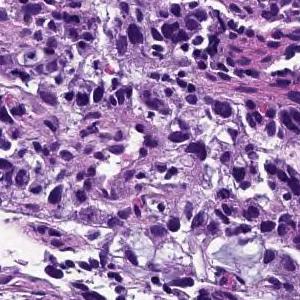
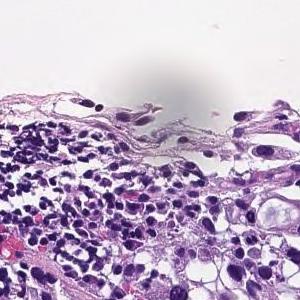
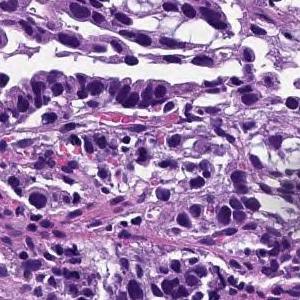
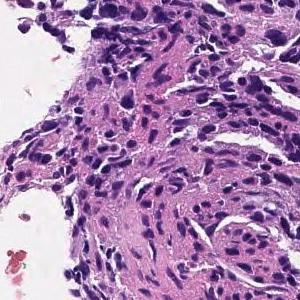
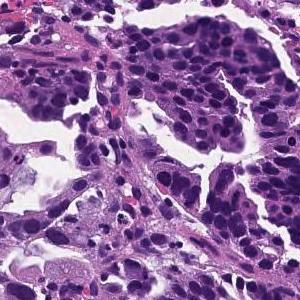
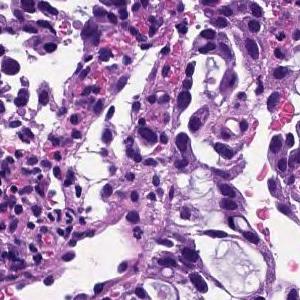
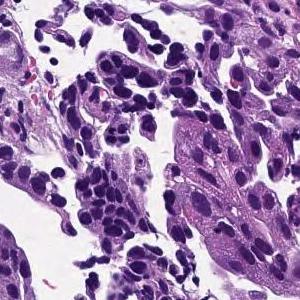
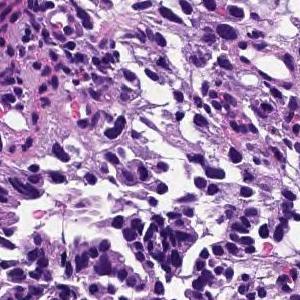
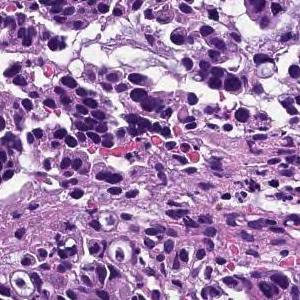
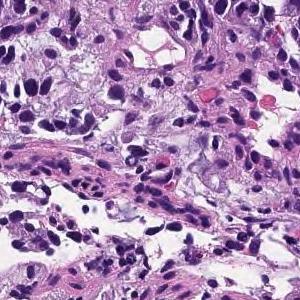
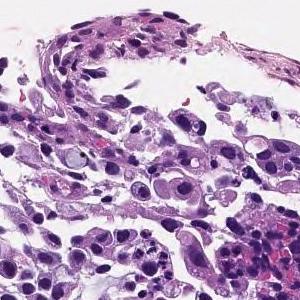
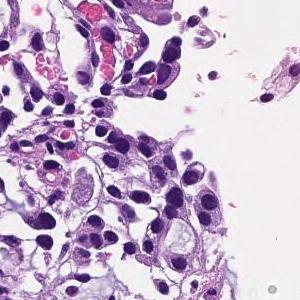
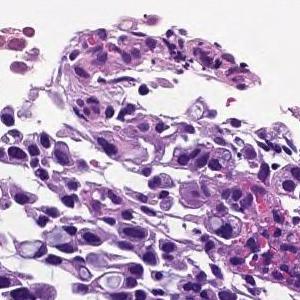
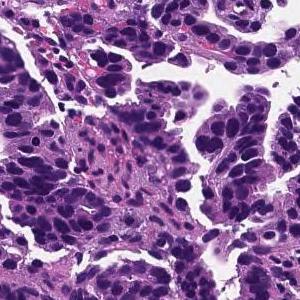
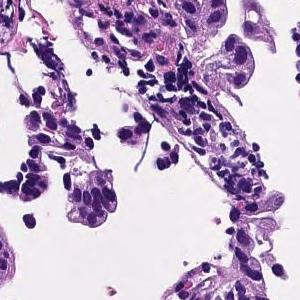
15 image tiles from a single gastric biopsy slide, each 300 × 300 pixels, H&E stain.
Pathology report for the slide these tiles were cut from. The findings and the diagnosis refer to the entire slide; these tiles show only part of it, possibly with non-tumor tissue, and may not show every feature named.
Tumor tissue consisting of medium-sized, cord-like or irregular glandular infiltration is observed in the superficial epithelium. Poorly differentiated adenocarcinoma, non-solid type or moderately differentiated tubular adenocarcinoma
Classified as moderately to poorly differentiated adenocarcinoma.
The term "non-solid type" comes from the Japanese Classification of Gastric Carcinoma.
